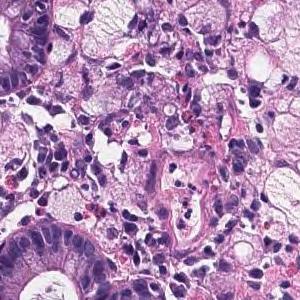
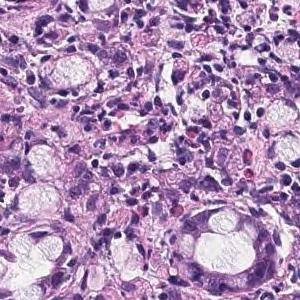
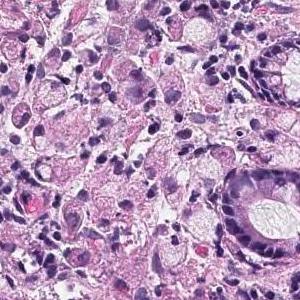
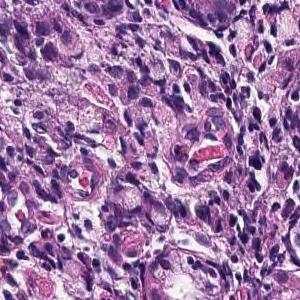
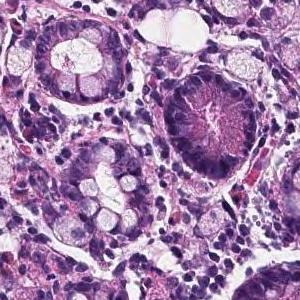
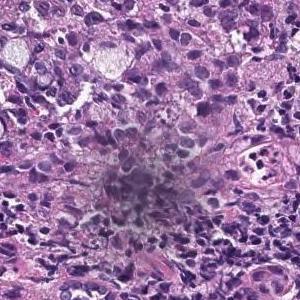
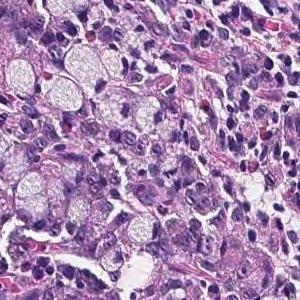
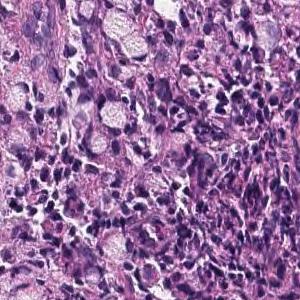
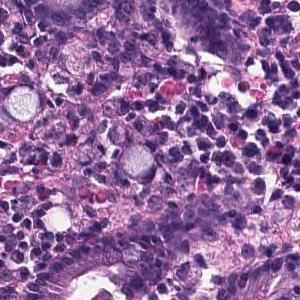
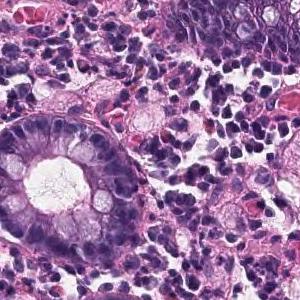
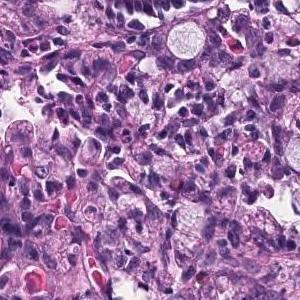
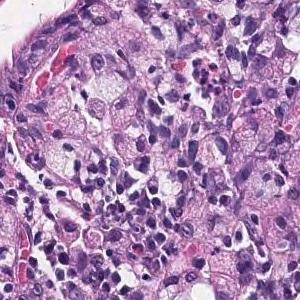
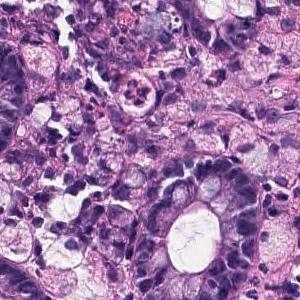
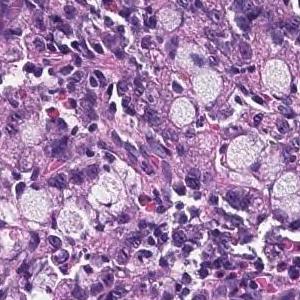
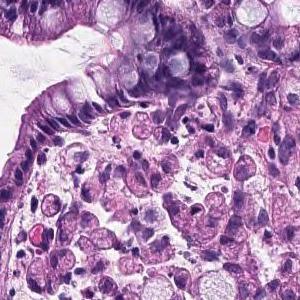
15 image tiles from a single gastric biopsy slide, 300 × 300 pixels each, hematoxylin and eosin stain, 20× magnification.
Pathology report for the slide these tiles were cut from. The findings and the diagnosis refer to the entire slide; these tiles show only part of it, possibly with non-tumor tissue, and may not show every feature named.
A tumor tissue consisting of signet ring cell carcinoma cells is observed in the lamina propria. Signet ring cell carcinoma.
